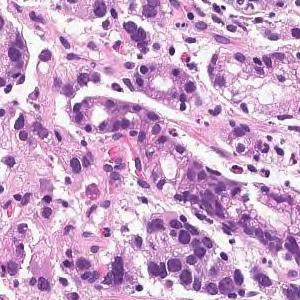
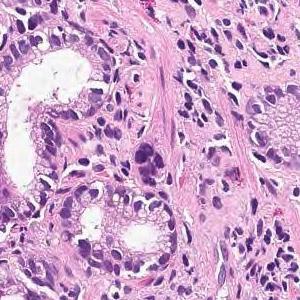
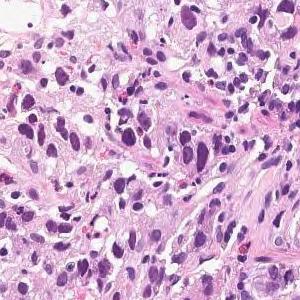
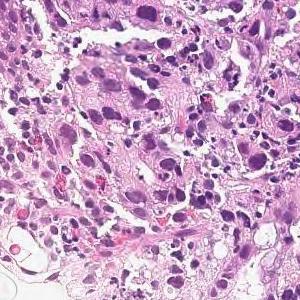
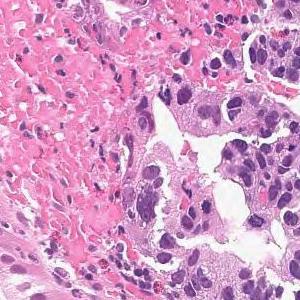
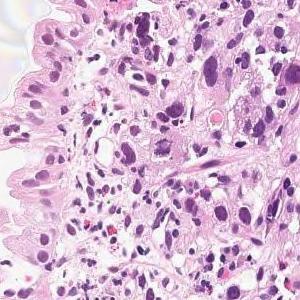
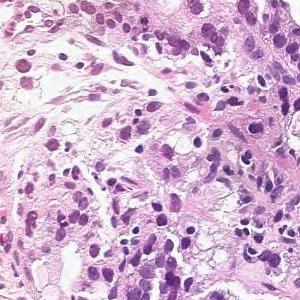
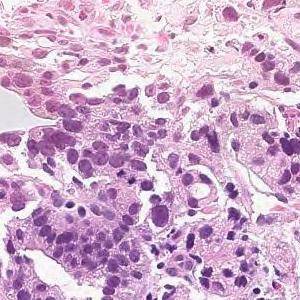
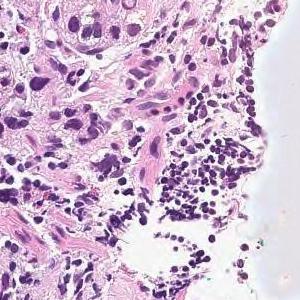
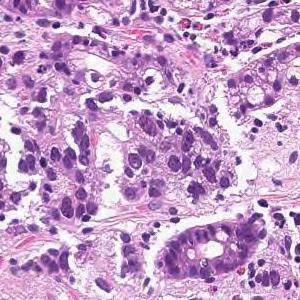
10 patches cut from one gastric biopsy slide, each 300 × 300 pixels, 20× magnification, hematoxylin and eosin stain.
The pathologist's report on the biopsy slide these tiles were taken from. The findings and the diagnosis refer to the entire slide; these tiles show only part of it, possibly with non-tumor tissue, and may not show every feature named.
Tumor tissue consisting of medium-sized, cord-like or irregular glandular infiltration is observed in the superficial epithelium. Poorly differentiated adenocarcinoma, non-solid type or moderately differentiated tubular adenocarcinoma (moderately differentiated tubular adenocarcinoma)
Labeled in the dataset as moderately differentiated tubular adenocarcinoma.
The non-solid type named here is a Japanese Classification of Gastric Carcinoma category.
